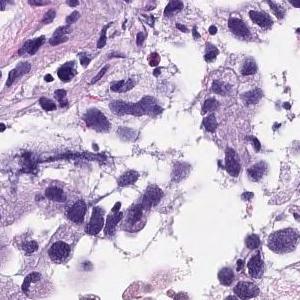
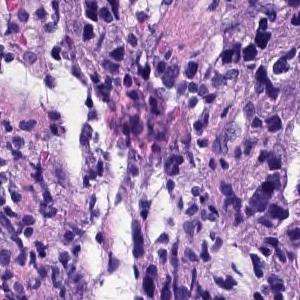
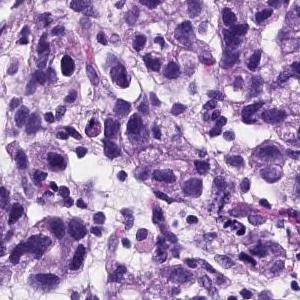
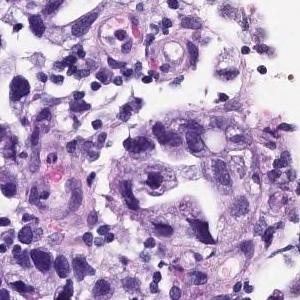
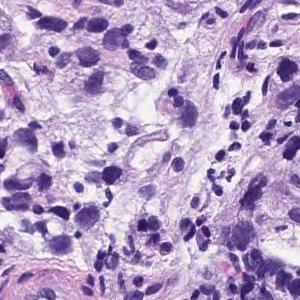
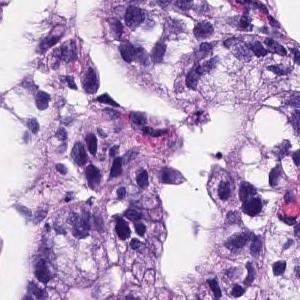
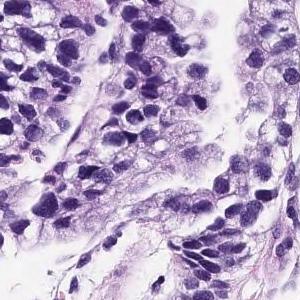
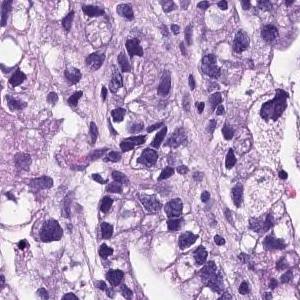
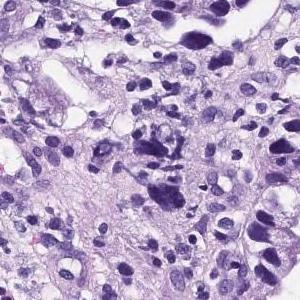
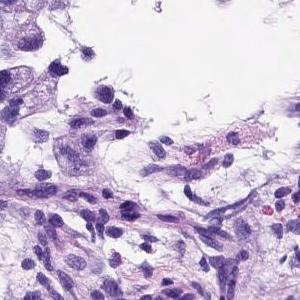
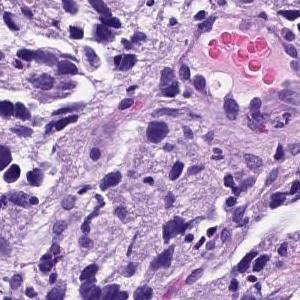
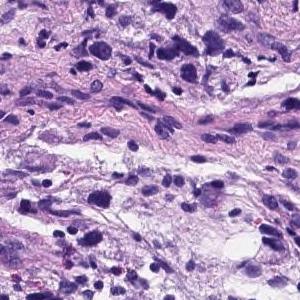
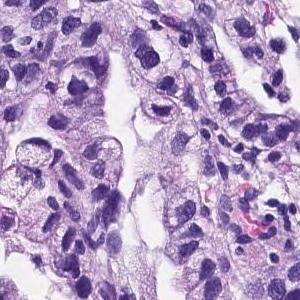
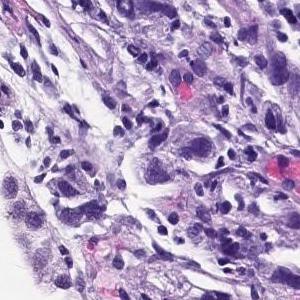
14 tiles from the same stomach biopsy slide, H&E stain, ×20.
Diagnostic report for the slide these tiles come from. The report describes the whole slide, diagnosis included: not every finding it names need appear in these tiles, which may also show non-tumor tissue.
Medium to small, irregular glandular ducts are formed in the superficial epithelium, and in some cases, the glandular ducts are fused to show solid alveolar lesions and infiltrating tumor tissue is observed. Poorly differentiated adenocarcinoma, Moderately differentiated adenocarcinoma.
The dataset labels this slide moderately differentiated tubular adenocarcinoma.
